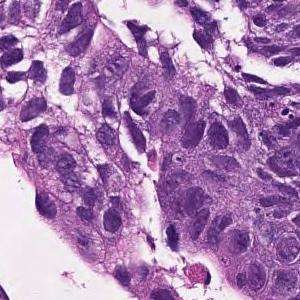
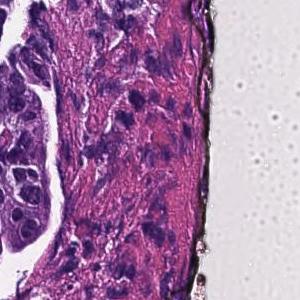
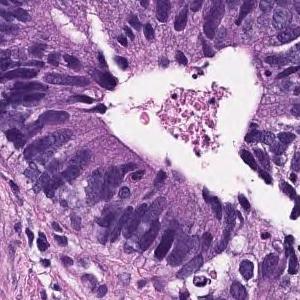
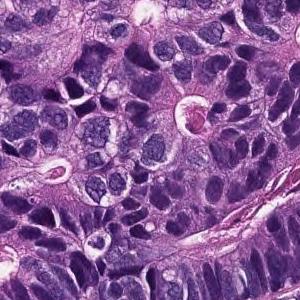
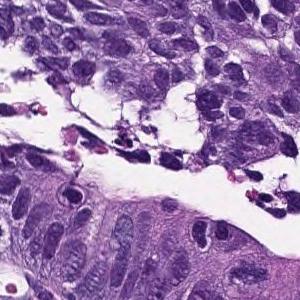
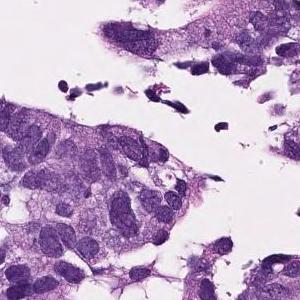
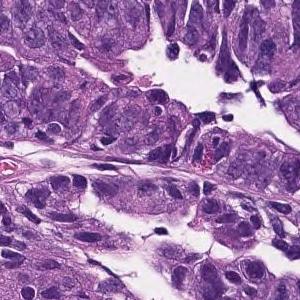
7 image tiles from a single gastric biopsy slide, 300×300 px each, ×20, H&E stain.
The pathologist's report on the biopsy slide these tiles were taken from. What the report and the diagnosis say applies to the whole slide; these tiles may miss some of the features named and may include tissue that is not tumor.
In the superficial epithelium, tumor tissue that invades by forming medium-sized to small, irregular ducts is observed. moderately differentiated tubular adenocarcinoma.
